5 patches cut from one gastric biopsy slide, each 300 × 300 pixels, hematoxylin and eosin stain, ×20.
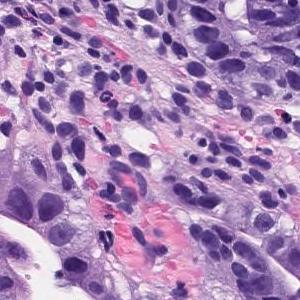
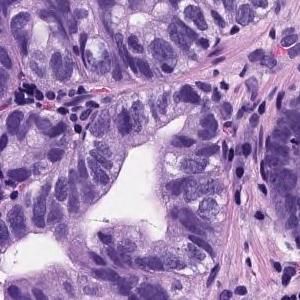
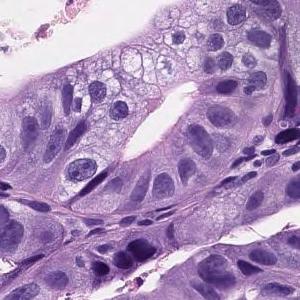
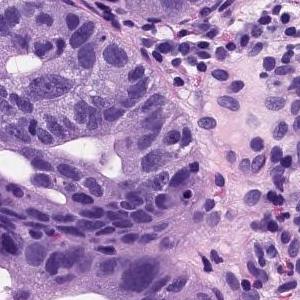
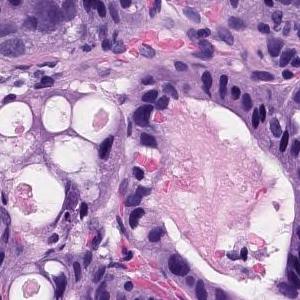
Diagnostic report for the slide these tiles come from. The findings and the diagnosis refer to the entire slide; these tiles show only part of it, possibly with non-tumor tissue, and may not show every feature named.
Proliferation of atypical tubules is observed in surface epithelium. Tubules form back-to-back structure. Tubules exhibit glandular budding, nuclear enlargement, cellular atypia. Well differentiated tubular adenocarcinoma.
